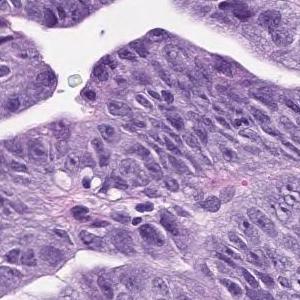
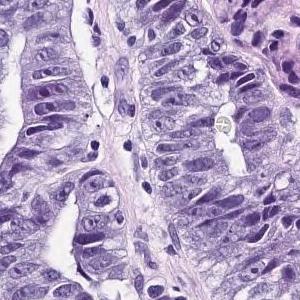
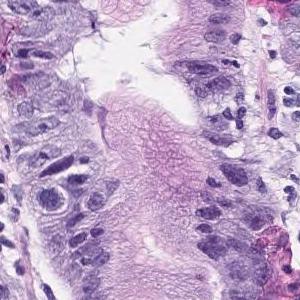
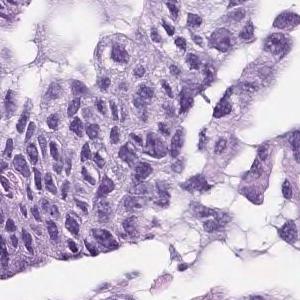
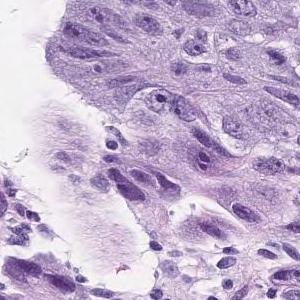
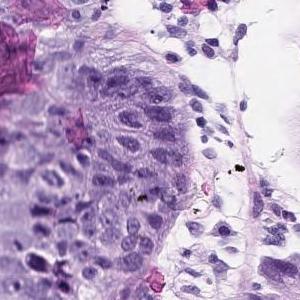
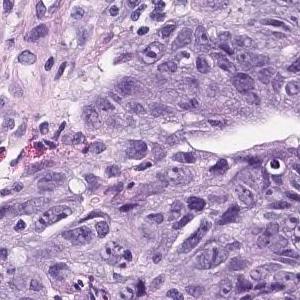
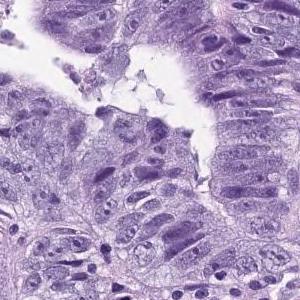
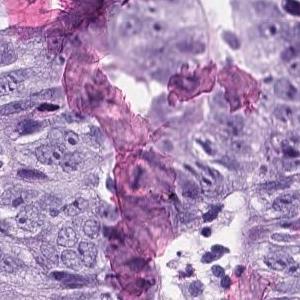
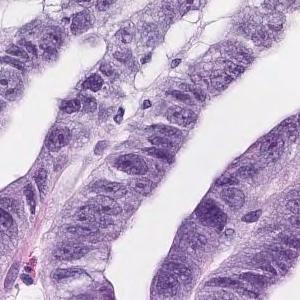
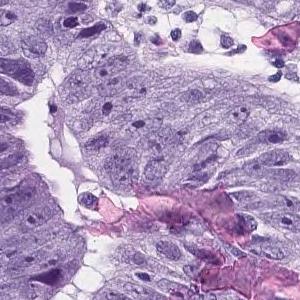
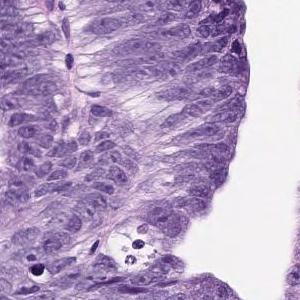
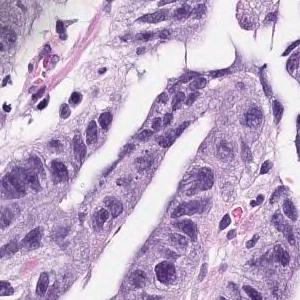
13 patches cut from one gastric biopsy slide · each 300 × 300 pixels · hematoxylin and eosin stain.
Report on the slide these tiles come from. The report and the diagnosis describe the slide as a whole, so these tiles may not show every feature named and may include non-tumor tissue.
In the superficial epithelium, tumor tissue that invades by forming medium-sized to small, irregular ducts is observed. Moderately differentiated adenocarcinoma.
Classified as moderately differentiated tubular adenocarcinoma.
